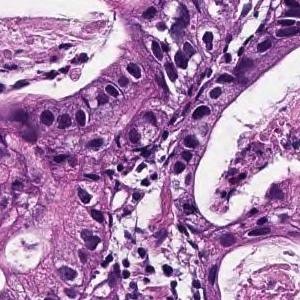
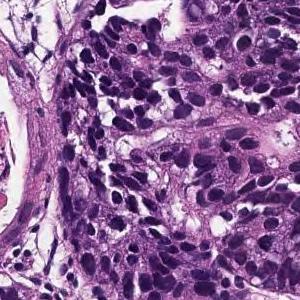
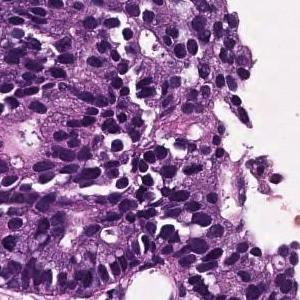
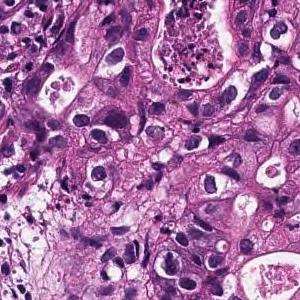
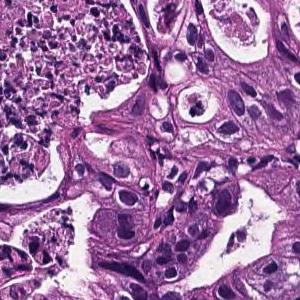
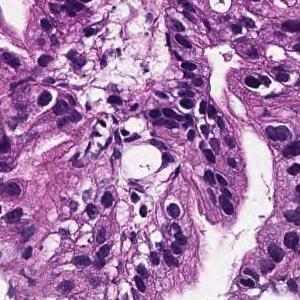
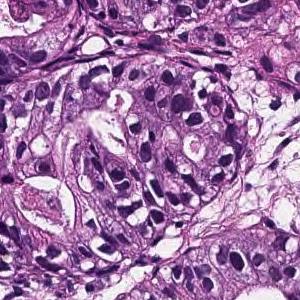
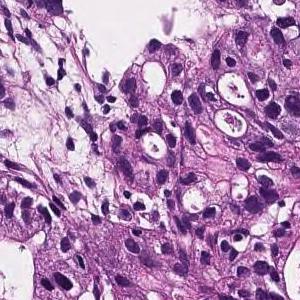
8 image tiles from a single gastric biopsy slide; each 300 × 300 pixels; hematoxylin and eosin stain.
The pathologist's report on the biopsy slide these tiles were taken from. What the report and the diagnosis say applies to the whole slide; these tiles may miss some of the features named and may include tissue that is not tumor.
From the superficial epithelium to the muscularis mucosae, tumor tissue infiltrating by forming medium-sized irregular gland ducts is observed. Large tumor cells exhibit large nucleus and hyperchromatism. Well differentiated tubular adenocarcinoma
